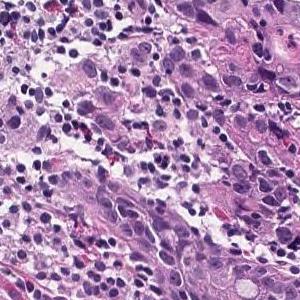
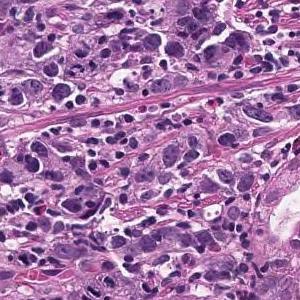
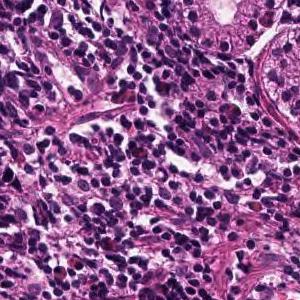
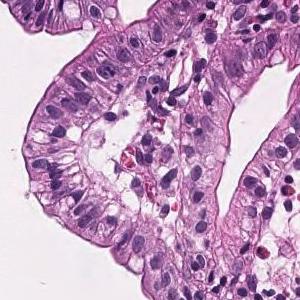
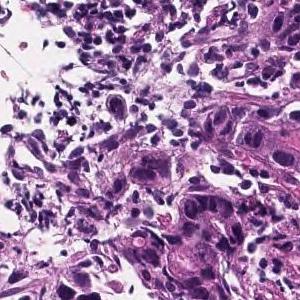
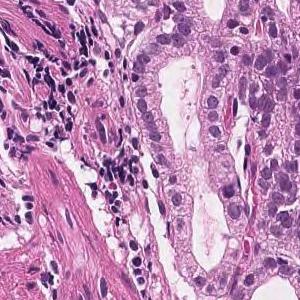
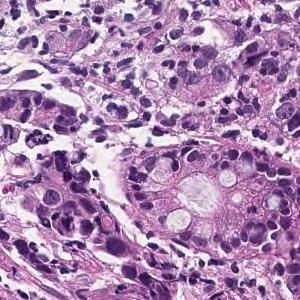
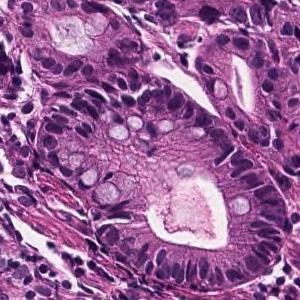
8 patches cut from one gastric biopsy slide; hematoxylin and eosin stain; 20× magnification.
Diagnostic report for the slide these tiles come from. The report and the diagnosis cover the entire slide, so not every feature they name need be visible here, and some tissue shown may not be tumor.
Tumor tissue consisting of medium-sized, cord-like or irregular glandular infiltration is observed in the superficial epithelium. Poorly differentiated adenocarcinoma, non-solid type or moderately differentiated tubular adenocarcinoma
Classified as moderately to poorly differentiated adenocarcinoma.
The term "non-solid type" comes from the Japanese Classification of Gastric Carcinoma.
